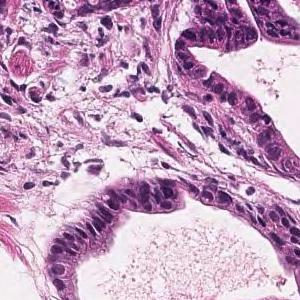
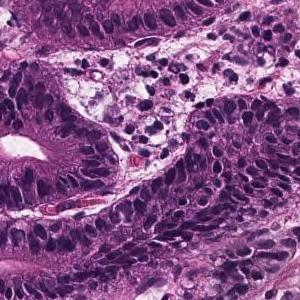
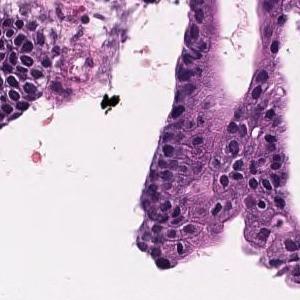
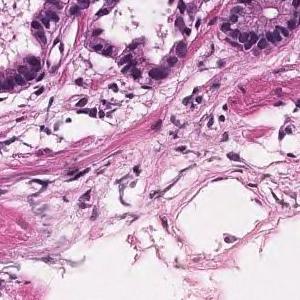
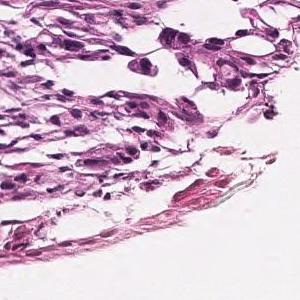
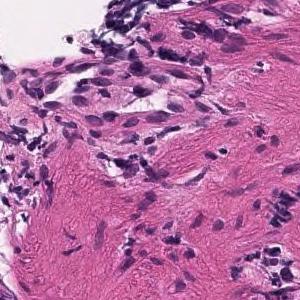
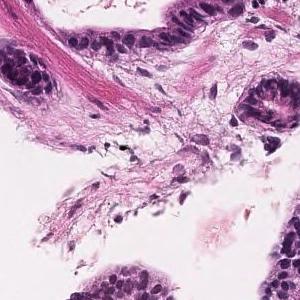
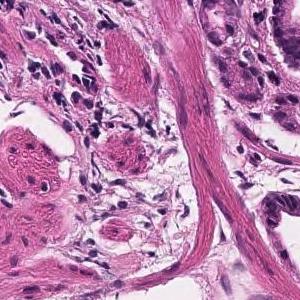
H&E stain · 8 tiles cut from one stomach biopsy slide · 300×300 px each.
Pathology report for the biopsy slide these tiles were cut from. The findings and the diagnosis refer to the entire slide; these tiles show only part of it, possibly with non-tumor tissue, and may not show every feature named.
Tumor tissue with atypical epithelium showing irregular ductal or sieving ductal structure and proliferating is observed. Well to moderately differentiated tubular adenocarcinoma (well differentiated tubular adenocarcinoma-moderately differentiated tubular adenocarcinoma)
Histological subtype: Well to moderately differentiated tubular adenocarcinoma.
